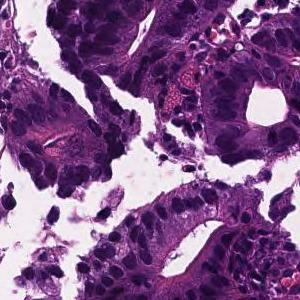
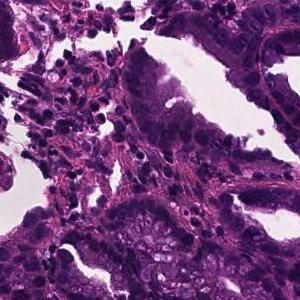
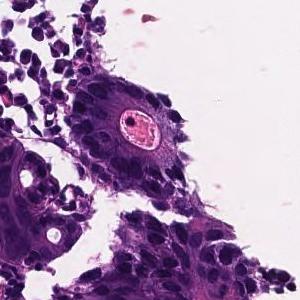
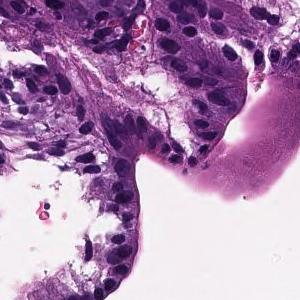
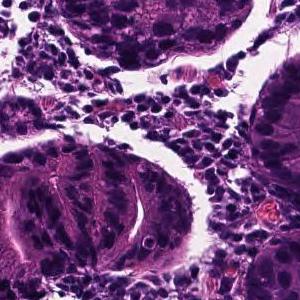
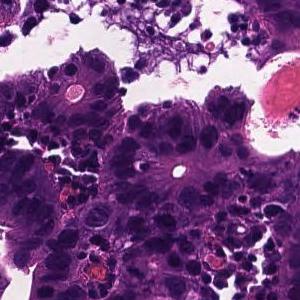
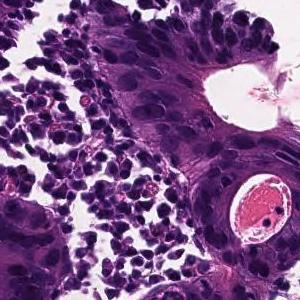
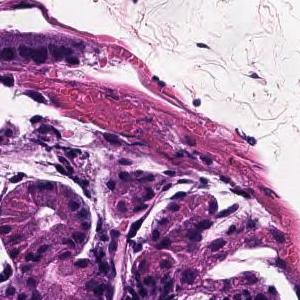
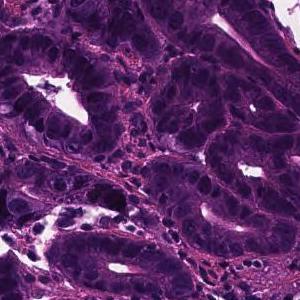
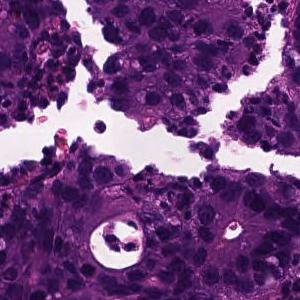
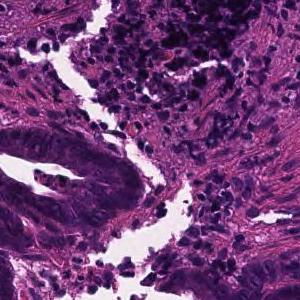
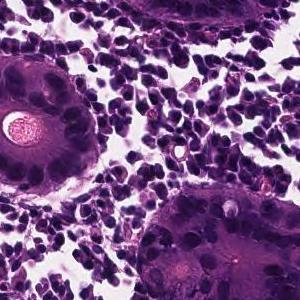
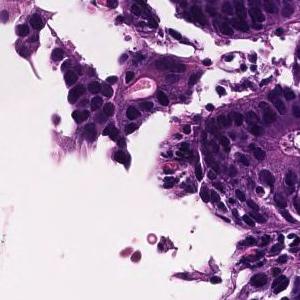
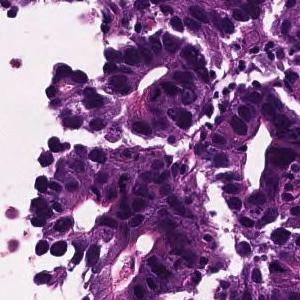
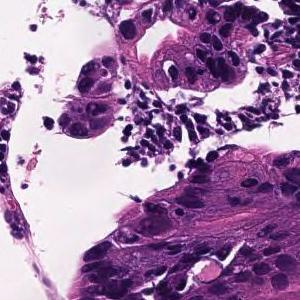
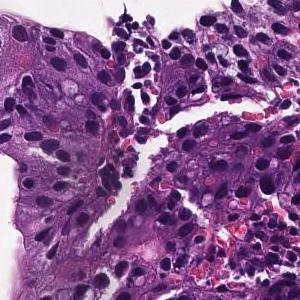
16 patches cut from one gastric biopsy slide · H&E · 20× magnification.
Pathology report for the slide these tiles were cut from. What the report and the diagnosis say applies to the whole slide; these tiles may miss some of the features named and may include tissue that is not tumor.
From the superficial epithelium to the muscularis mucosae, tumor tissue infiltrating by forming medium-sized irregular gland ducts is observed. Large tumor cells exhibit large nucleus and hyperchromatism. Well differentiated tubular adenocarcinoma
